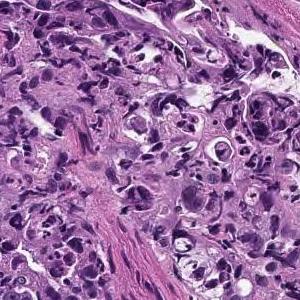
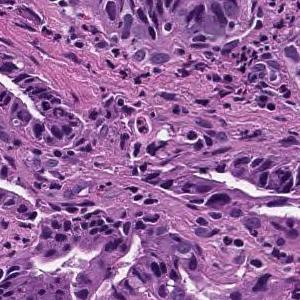
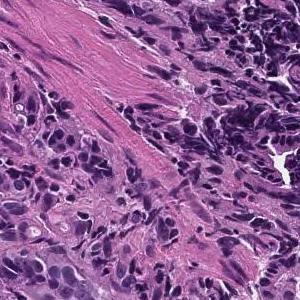
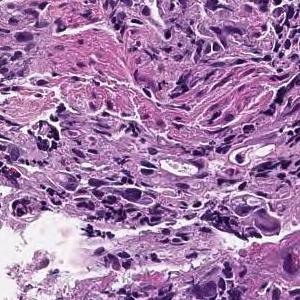
4 patches cut from one gastric biopsy slide · 300×300 px each · 20× magnification.
Pathology report for the slide these tiles were cut from. The report and the diagnosis describe the slide as a whole, so these tiles may not show every feature named and may include non-tumor tissue.
On the superficial epithelium, tumor tissue consisting of large, irregular glandular ducts partially fused and infiltrated is observed. Well to moderately differentiated tubular adenocarcinoma (well differentiated tubular adenocarcinoma, moderately differentiated tubular adenocarcinoma)
Histological subtype: Well to moderately differentiated tubular adenocarcinoma.
